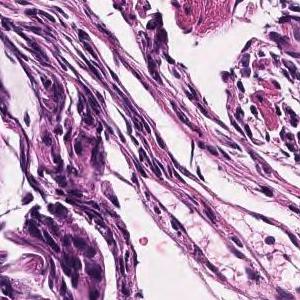
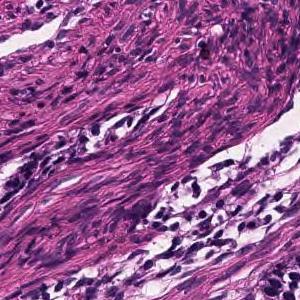
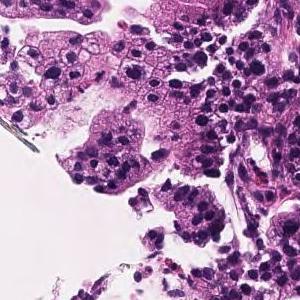
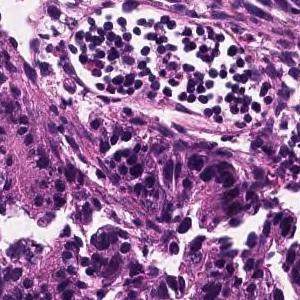
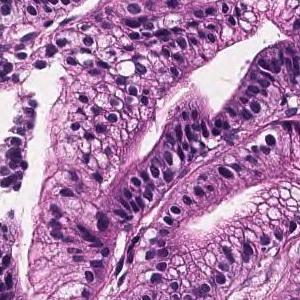
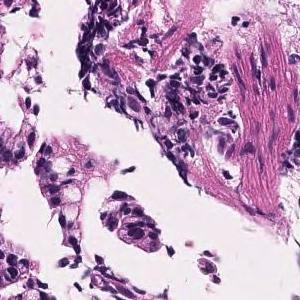
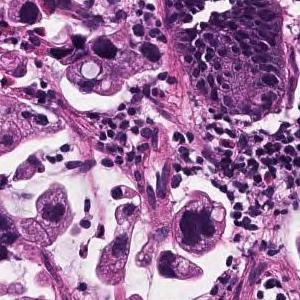
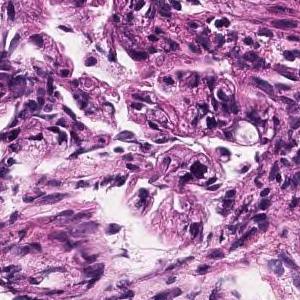
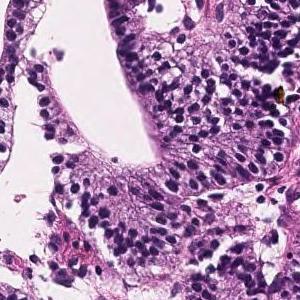
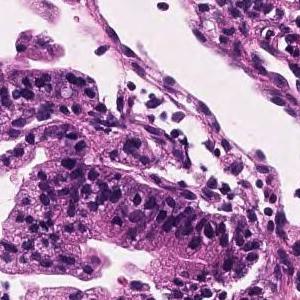
10 image tiles from a single gastric biopsy slide · each 300 × 300 pixels · ×20 · H&E stain.
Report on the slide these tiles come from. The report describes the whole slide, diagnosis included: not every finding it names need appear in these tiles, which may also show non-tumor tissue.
Tumor tissue consisting of large papillary structures or irregular glandular ducts partially fused and infiltrated is observed in the superficial epithelium. Well to moderately differentiated tubular adenocarcinoma.
Dataset label: moderately differentiated tubular adenocarcinoma.
